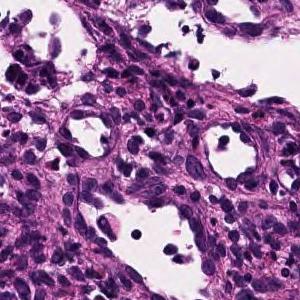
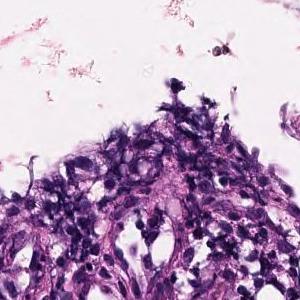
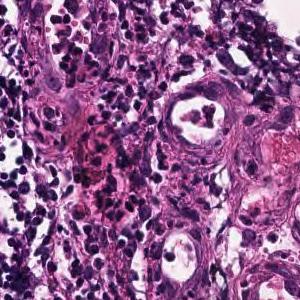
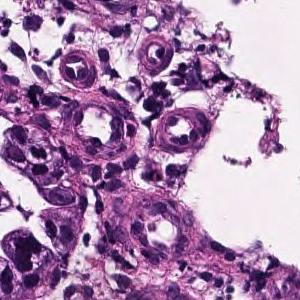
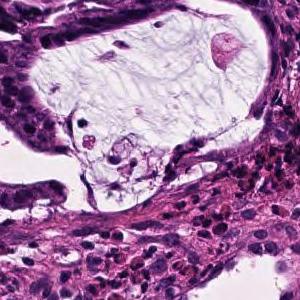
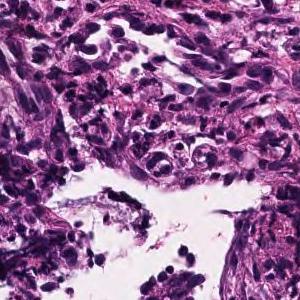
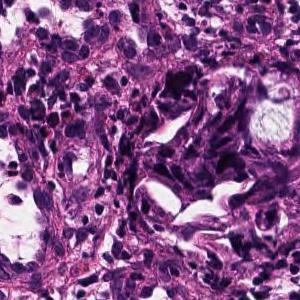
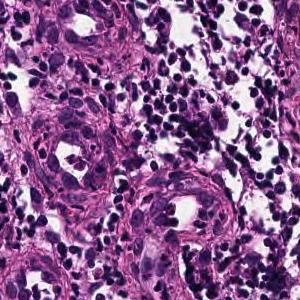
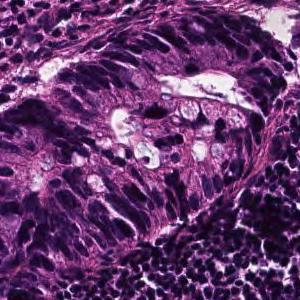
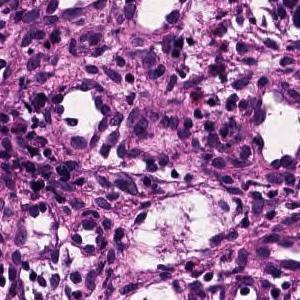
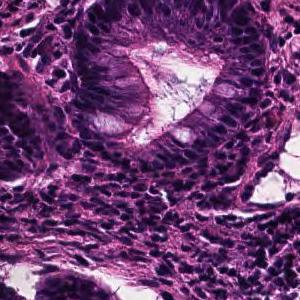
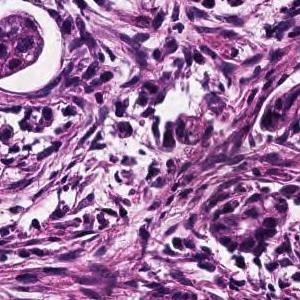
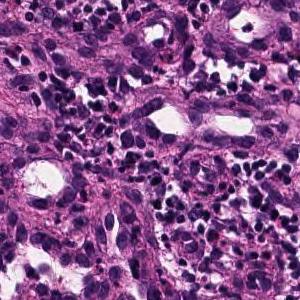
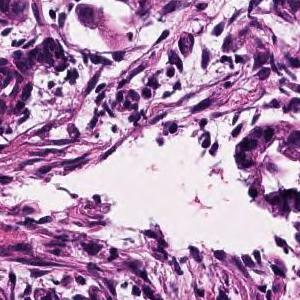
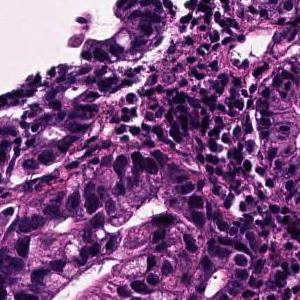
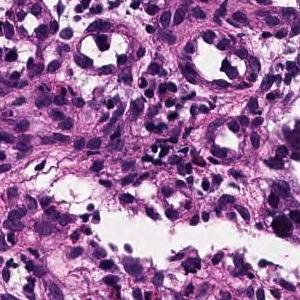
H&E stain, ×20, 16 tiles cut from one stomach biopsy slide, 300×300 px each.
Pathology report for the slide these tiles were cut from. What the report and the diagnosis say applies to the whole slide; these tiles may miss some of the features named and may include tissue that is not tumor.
On the superficial epithelium, tumor tissue consisting of large, irregular glandular ducts partially fused and infiltrated is observed. Well to moderately differentiated tubular adenocarcinoma (well differentiated tubular adenocarcinoma, moderately differentiated tubular adenocarcinoma)
Tumor subtype: well to moderately differentiated tubular adenocarcinoma.
